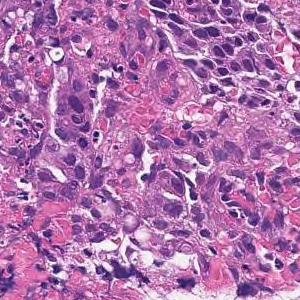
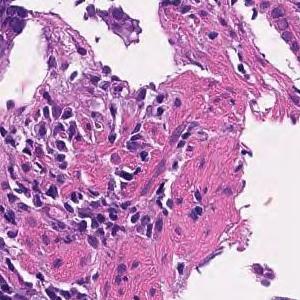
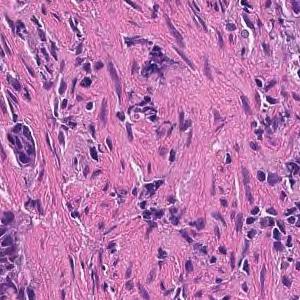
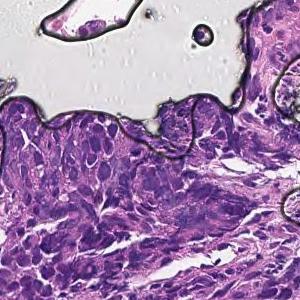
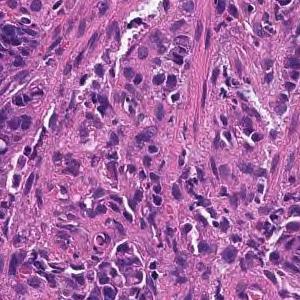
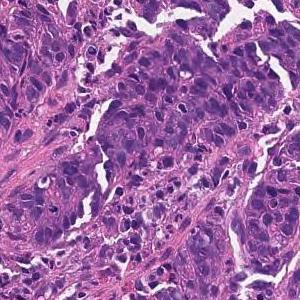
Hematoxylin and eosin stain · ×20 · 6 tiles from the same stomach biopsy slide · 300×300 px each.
Report on the slide these tiles come from. The findings and the diagnosis refer to the entire slide; these tiles show only part of it, possibly with non-tumor tissue, and may not show every feature named.
Tumor tissue consisting of cord-like or small, irregular glandular ducts fused and infiltrated is observed in the superficial epithelium. Poorly differentiated adenocarcinoma, non-solid type
"Non-solid type" is a category of the Japanese Classification of Gastric Carcinoma.
